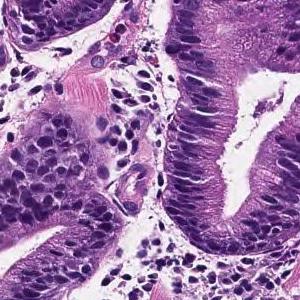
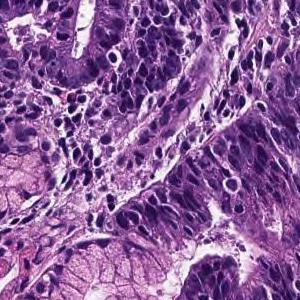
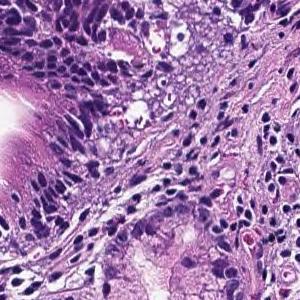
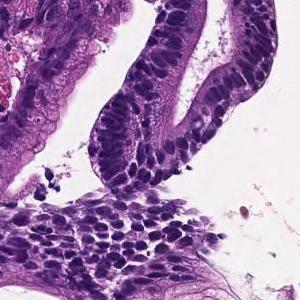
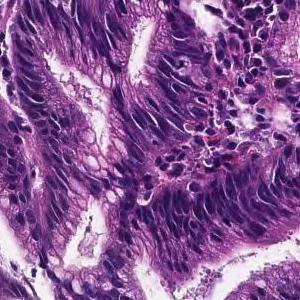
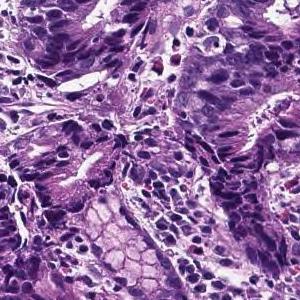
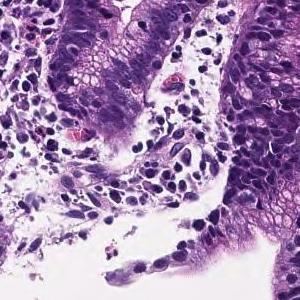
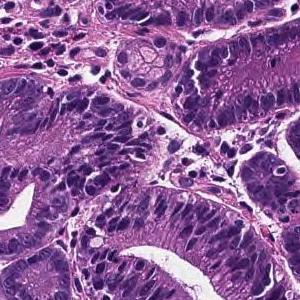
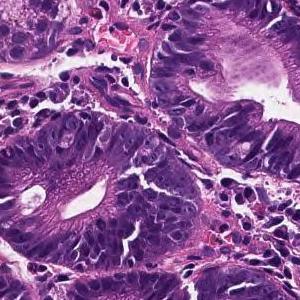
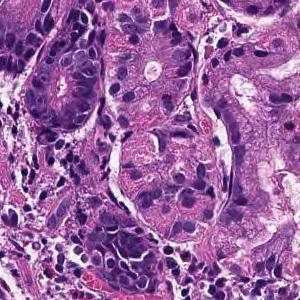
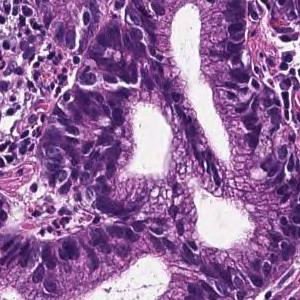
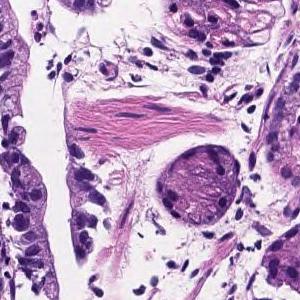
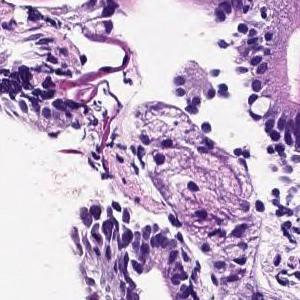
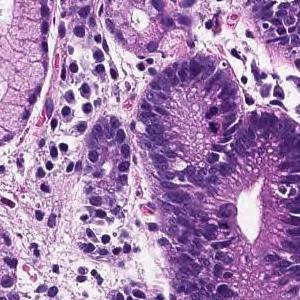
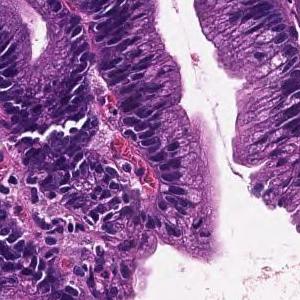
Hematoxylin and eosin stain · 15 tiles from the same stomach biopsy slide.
Pathology report for the biopsy slide these tiles were cut from. The report and the diagnosis describe the slide as a whole, so these tiles may not show every feature named and may include non-tumor tissue.
From the superficial epithelium to the muscularis mucosae, tumor tissue consisting of medium-sized and irregular glandular ducts infiltrating is observed. Well differentiated tubular adenocarcinoma
